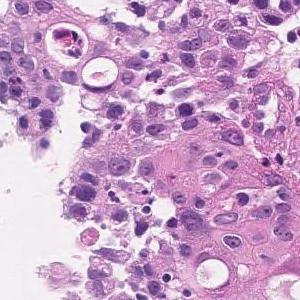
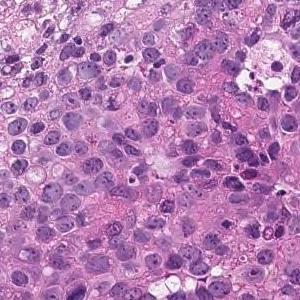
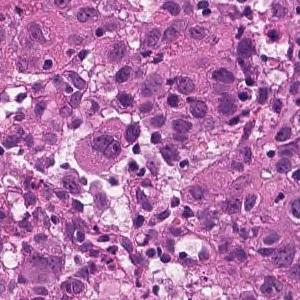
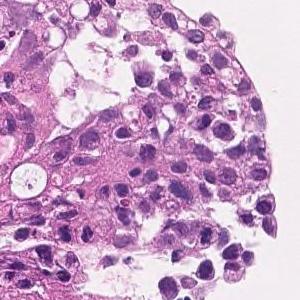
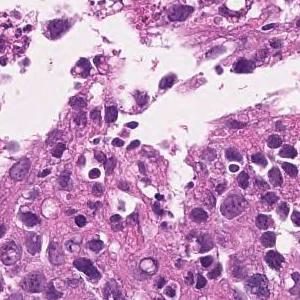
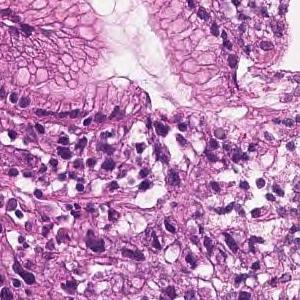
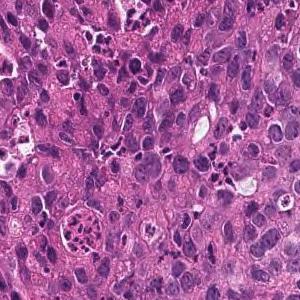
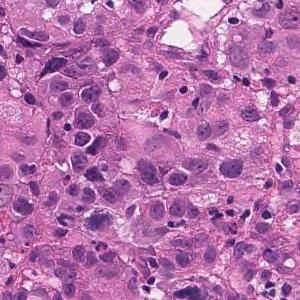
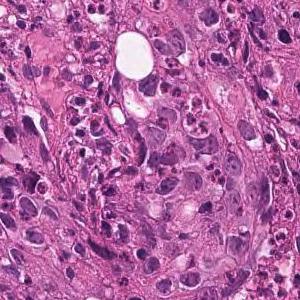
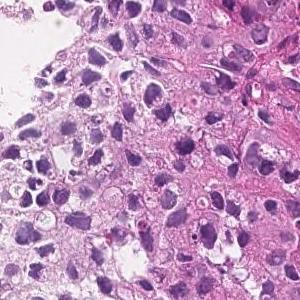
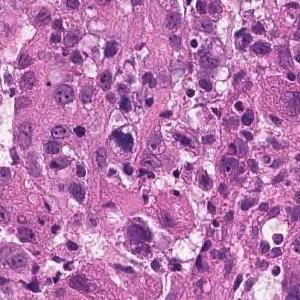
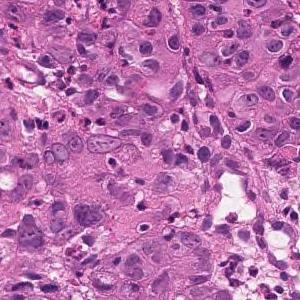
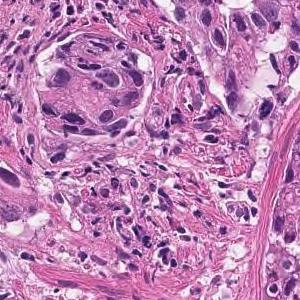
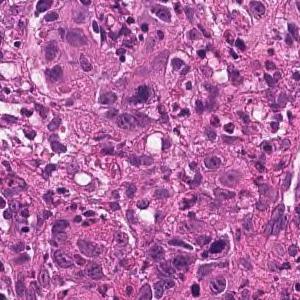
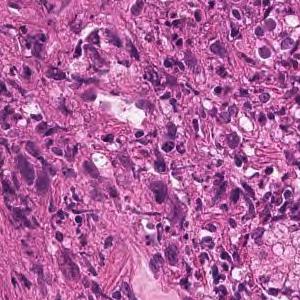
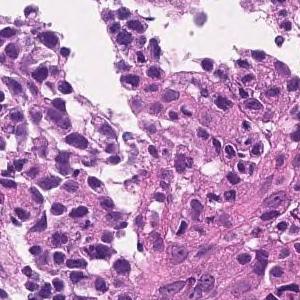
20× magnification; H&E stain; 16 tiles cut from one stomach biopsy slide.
Diagnostic report for the slide these tiles come from. What the report and the diagnosis say applies to the whole slide; these tiles may miss some of the features named and may include tissue that is not tumor.
The superficial epithelium shows a large sheet-like shape, and some tumor tissue infiltrates with small irregular ducts. Poorly differentiated adenocarcinoma, solid-type
Histological subtype: Poorly differentiated adenocarcinoma, solid type. This name comes from the Japanese Classification of Gastric Carcinoma; the WHO 2019 classification calls it tubular adenocarcinoma, poorly differentiated.
